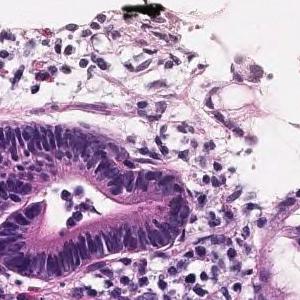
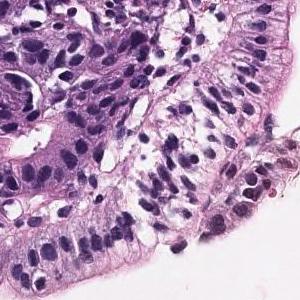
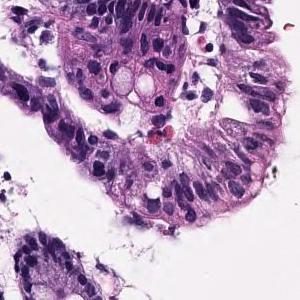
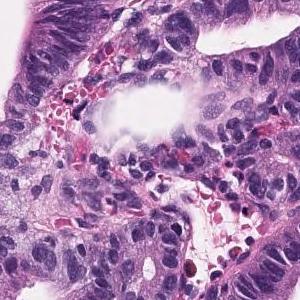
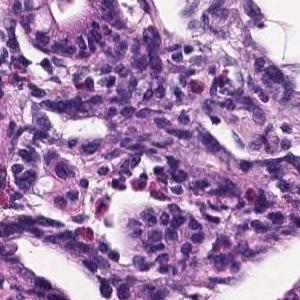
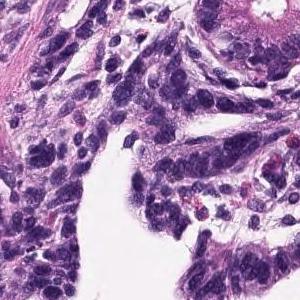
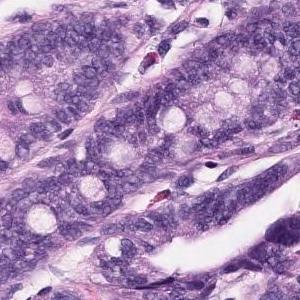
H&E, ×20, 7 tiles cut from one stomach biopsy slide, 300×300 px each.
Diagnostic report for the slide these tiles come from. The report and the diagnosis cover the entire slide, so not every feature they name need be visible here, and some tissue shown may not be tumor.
Tumor cells are large, highly columnar, large club-shaped nuclei, and are associated with chromatin aggregation. Papillary adenocarcinoma.
